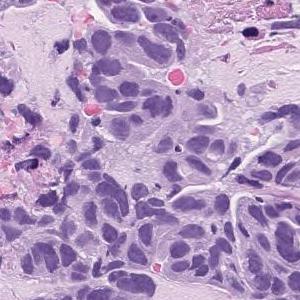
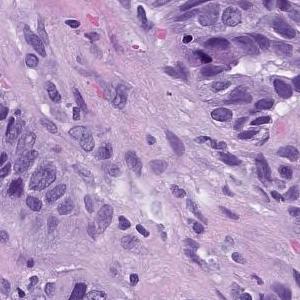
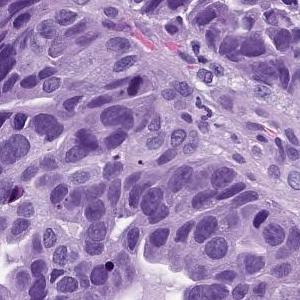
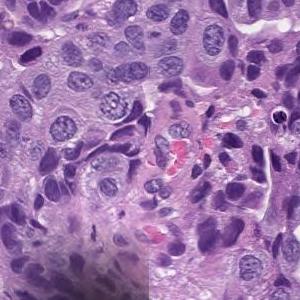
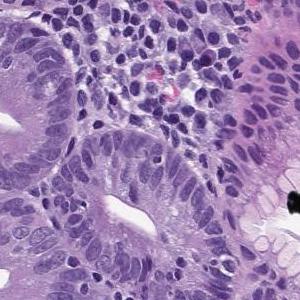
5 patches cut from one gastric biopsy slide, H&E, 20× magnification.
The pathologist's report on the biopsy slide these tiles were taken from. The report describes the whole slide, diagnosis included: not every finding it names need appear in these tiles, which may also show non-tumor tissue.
In the superficial epithelium, tumor tissue that invades by forming medium-sized to small, irregular ducts is observed. moderately differentiated tubular adenocarcinoma.
